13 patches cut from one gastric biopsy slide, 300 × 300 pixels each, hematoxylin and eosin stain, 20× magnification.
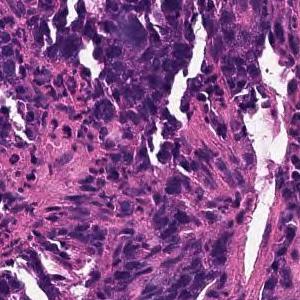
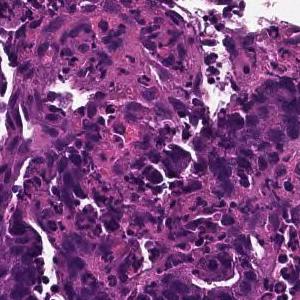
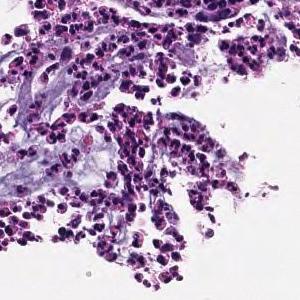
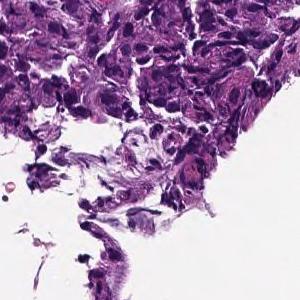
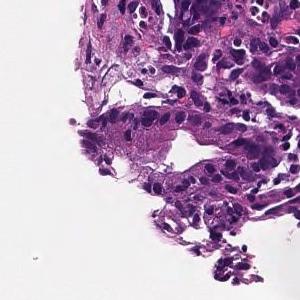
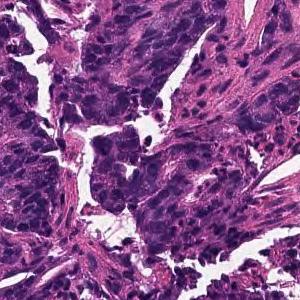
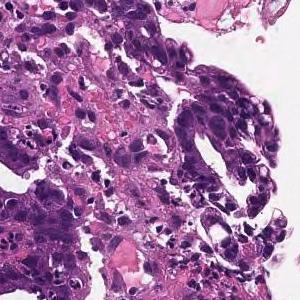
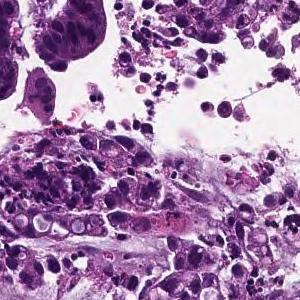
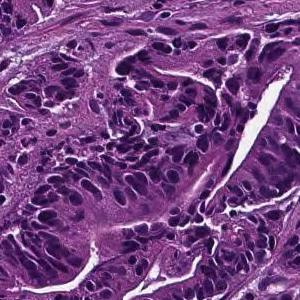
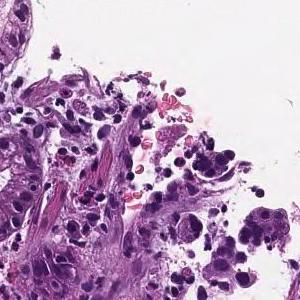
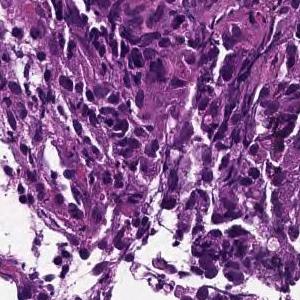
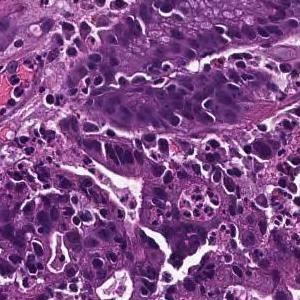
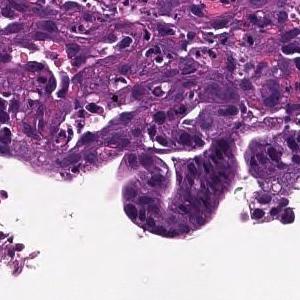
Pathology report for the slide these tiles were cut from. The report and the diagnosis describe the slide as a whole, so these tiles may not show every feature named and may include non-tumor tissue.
On the superficial epithelium, tumor tissue consisting of large irregular glandular ducts partially fused and infiltrated is observed. Well to moderately differentiated tubular adenocarcinoma (well differentiated tubular adenocarcinoma, moderately differentiated tubular adenocarcinoma)
Classified as well to moderately differentiated tubular adenocarcinoma.
